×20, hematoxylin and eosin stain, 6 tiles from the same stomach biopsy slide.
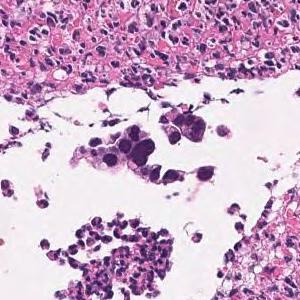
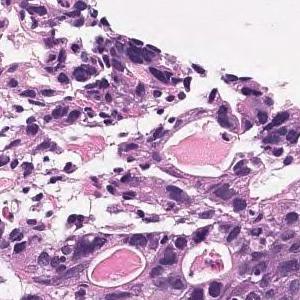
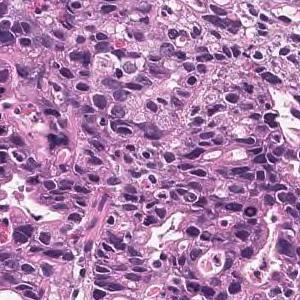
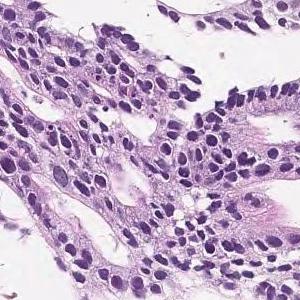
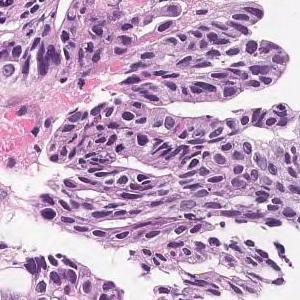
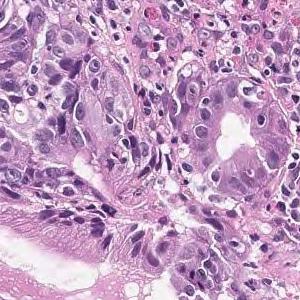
Pathology report for the slide these tiles were cut from. The report describes the whole slide, diagnosis included: not every finding it names need appear in these tiles, which may also show non-tumor tissue.
Tumor cells are large, highly columnar, large club-shaped nuclei, and are associated with chromatin aggregation. Papillary adenocarcinoma.
